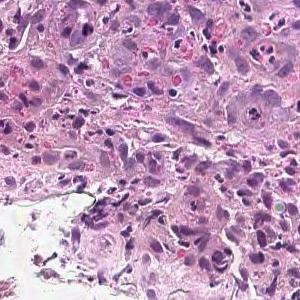
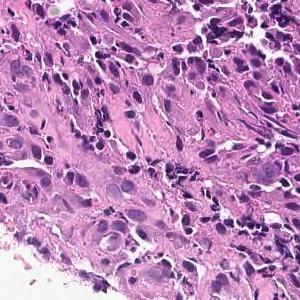
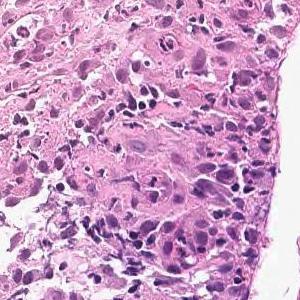
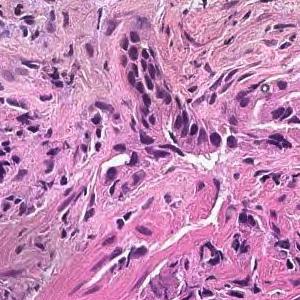
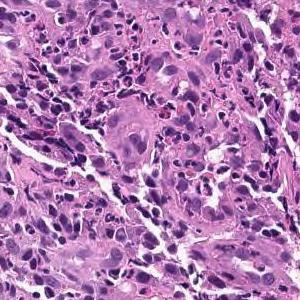
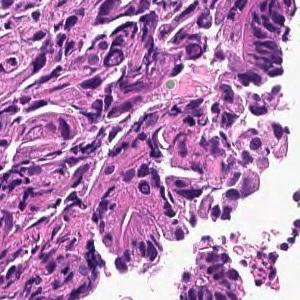
Hematoxylin and eosin stain; ×20; 6 patches cut from one gastric biopsy slide; each 300 × 300 pixels.
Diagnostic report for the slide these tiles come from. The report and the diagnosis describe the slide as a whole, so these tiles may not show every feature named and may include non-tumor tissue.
On the superficial epithelium, tumor tissue consisting of large irregular glandular ducts partially fused and infiltrated is observed. Well to moderately differentiated tubular adenocarcinoma (well differentiated tubular adenocarcinoma, moderately differentiated tubular adenocarcinoma)
Histological subtype: Well to moderately differentiated tubular adenocarcinoma.
